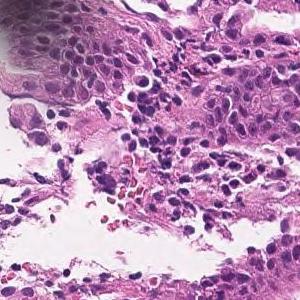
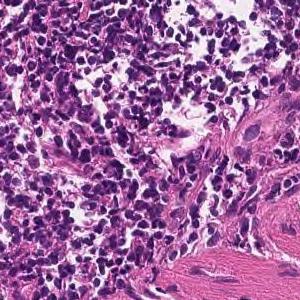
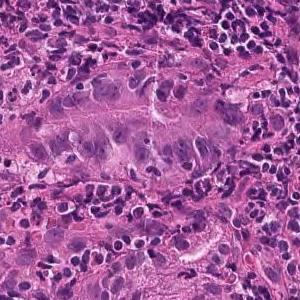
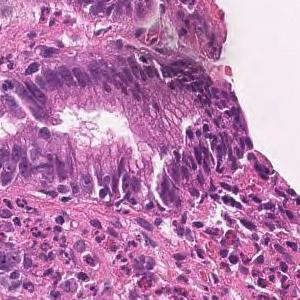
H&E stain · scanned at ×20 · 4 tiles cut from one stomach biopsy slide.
Report on the slide these tiles come from. The findings and the diagnosis refer to the entire slide; these tiles show only part of it, possibly with non-tumor tissue, and may not show every feature named.
Tumor tissue consisting of medium-sized, cord-like or irregular glandular infiltration is observed in the superficial epithelium. Poorly differentiated adenocarcinoma, non-solid type or moderately differentiated tubular adenocarcinoma
The dataset labels this slide poorly differentiated adenocarcinoma, non-solid type.
The term "non-solid type" comes from the Japanese Classification of Gastric Carcinoma.
